16 image tiles from a single gastric biopsy slide · 300 × 300 pixels each · 20× magnification · H&E.
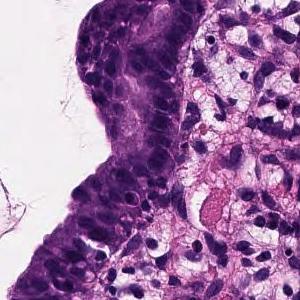
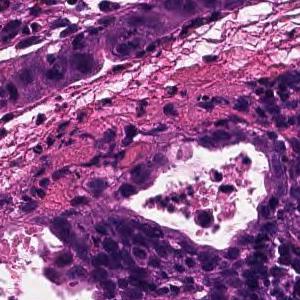
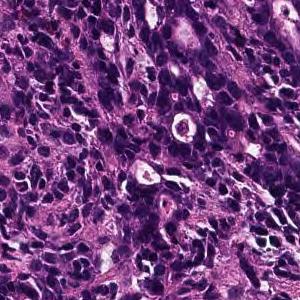
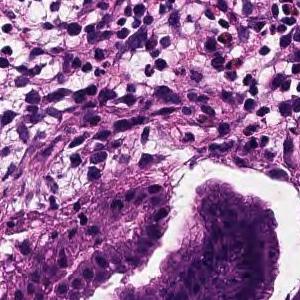
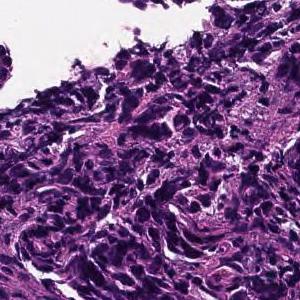
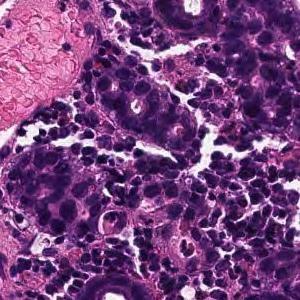
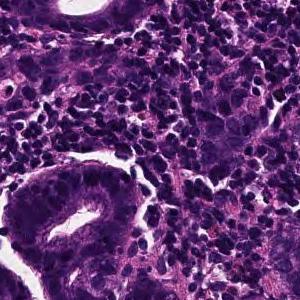
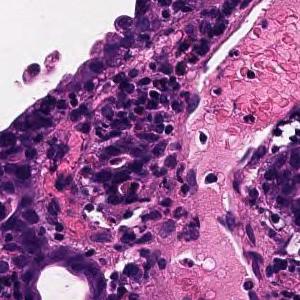
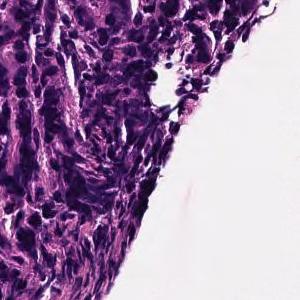
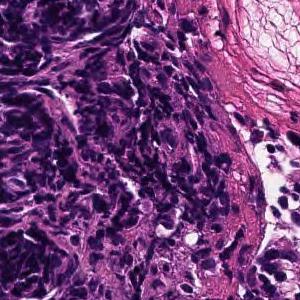
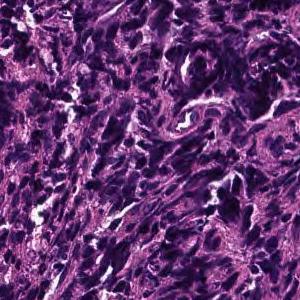
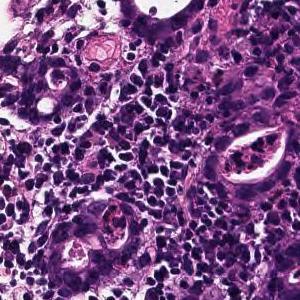
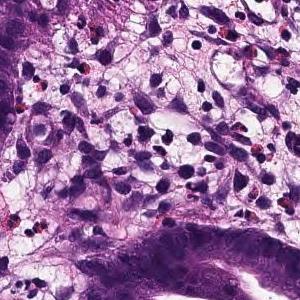
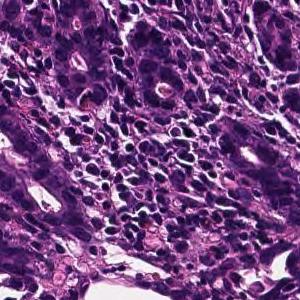
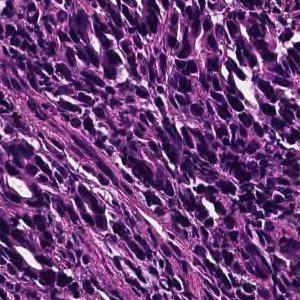
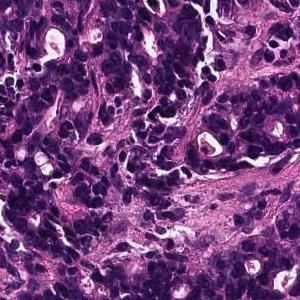
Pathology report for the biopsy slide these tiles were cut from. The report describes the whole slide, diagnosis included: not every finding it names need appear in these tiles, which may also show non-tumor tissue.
On the superficial epithelium, tumor tissue is found in which medium-sized irregular gland ducts fuse with each other and infiltrate. moderately differentiated tubular adenocarcinoma or Poorly differentiated adenocarcinoma, non-solid type
Histologic type: Moderately to poorly differentiated adenocarcinoma.
The non-solid type named here is a Japanese Classification of Gastric Carcinoma category.
